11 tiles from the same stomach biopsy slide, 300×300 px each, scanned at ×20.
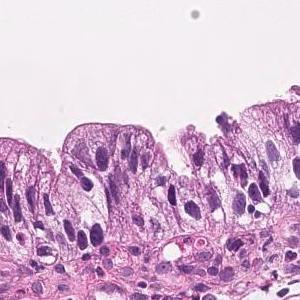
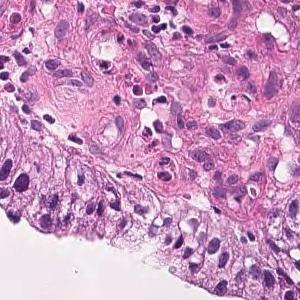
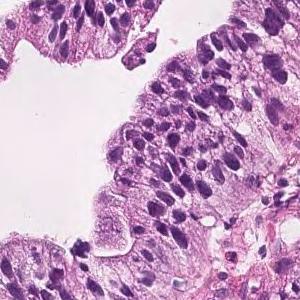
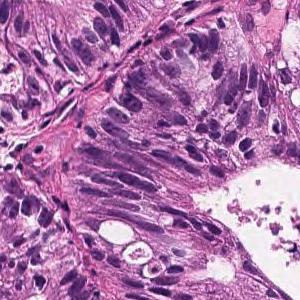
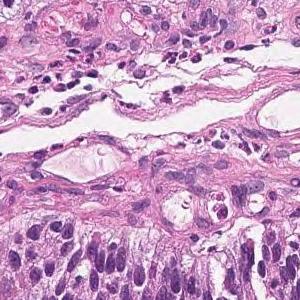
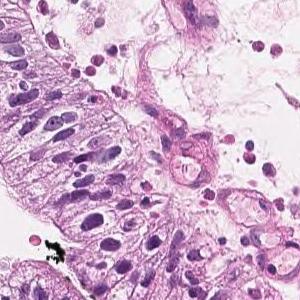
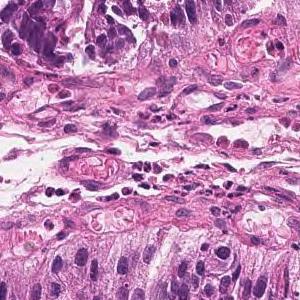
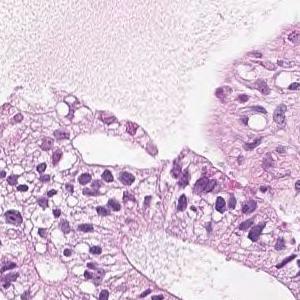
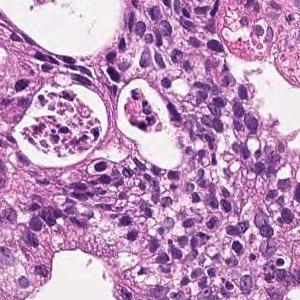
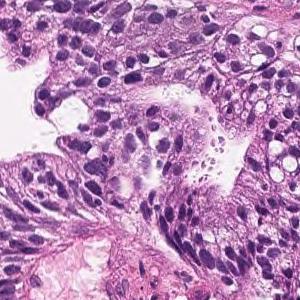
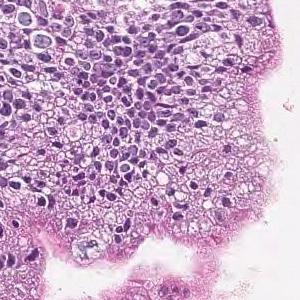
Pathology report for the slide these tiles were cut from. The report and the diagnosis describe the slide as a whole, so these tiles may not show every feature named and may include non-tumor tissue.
On the superficial epithelium, tumor tissue that infiltrates by forming medium-sized papillary or small irregular ducts is observed. Papillary adenocarcinoma
